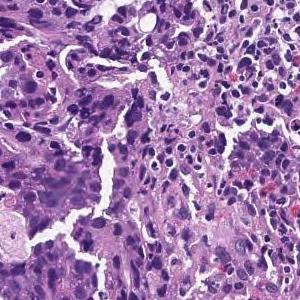
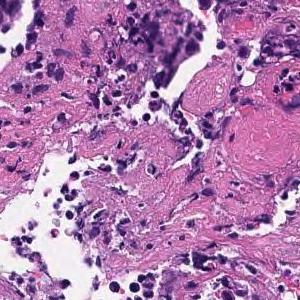
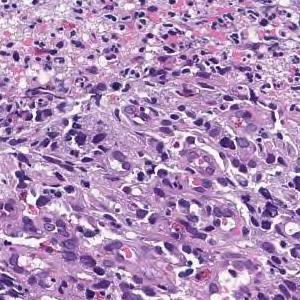
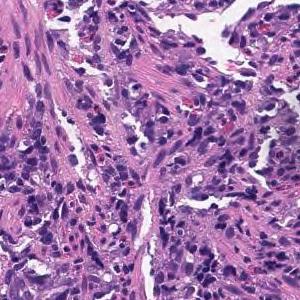
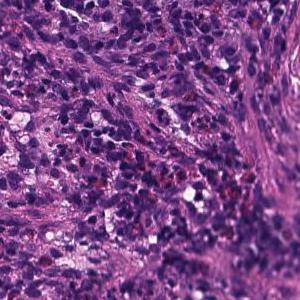
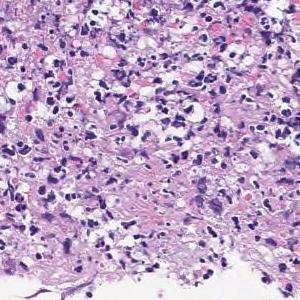
Hematoxylin and eosin stain · 20× magnification · 6 patches cut from one gastric biopsy slide.
Diagnostic report for the slide these tiles come from. The report describes the whole slide, diagnosis included: not every finding it names need appear in these tiles, which may also show non-tumor tissue.
On the superficial epithelium, tumor tissue consisting of large irregular glandular ducts partially fused and infiltrated is observed. Well to moderately differentiated tubular adenocarcinoma (well differentiated tubular adenocarcinoma, moderately differentiated tubular adenocarcinoma)
Histologic type: Well to moderately differentiated tubular adenocarcinoma.
